H&E stain; scanned at ×20; 5 tiles from the same stomach biopsy slide; 300 × 300 pixels each.
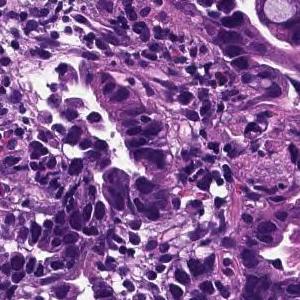
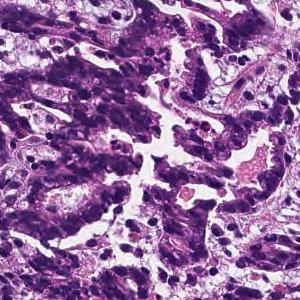
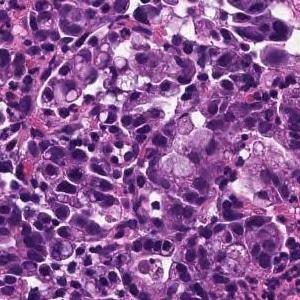
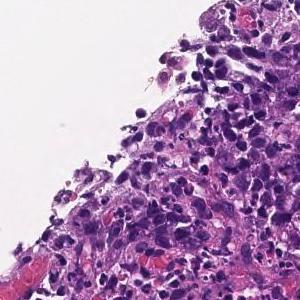
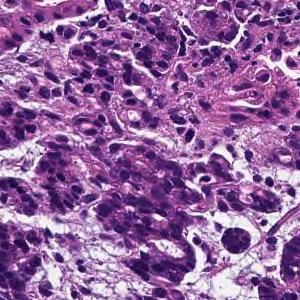
Pathology report for the slide these tiles were cut from. The report and the diagnosis cover the entire slide, so not every feature they name need be visible here, and some tissue shown may not be tumor.
In the superficial epithelium, tumor tissue that invades by forming medium-sized to small, irregular ducts is observed. moderately differentiated tubular adenocarcinoma.
